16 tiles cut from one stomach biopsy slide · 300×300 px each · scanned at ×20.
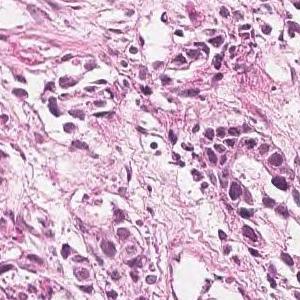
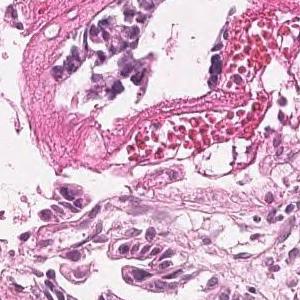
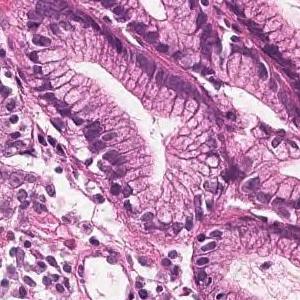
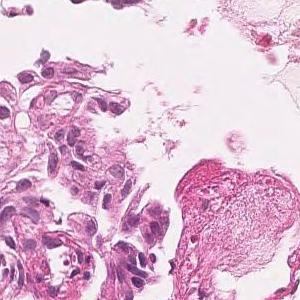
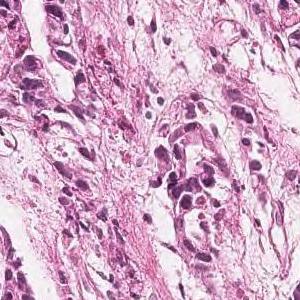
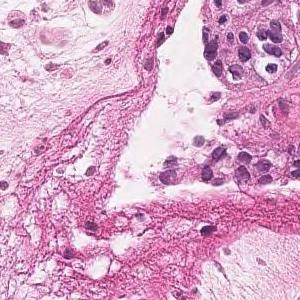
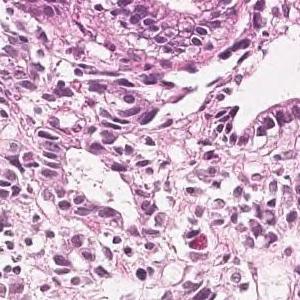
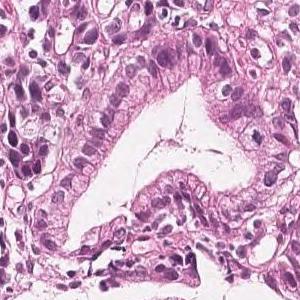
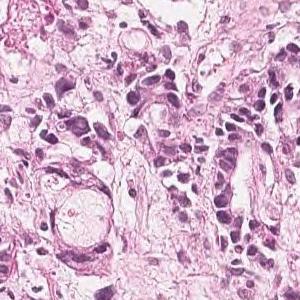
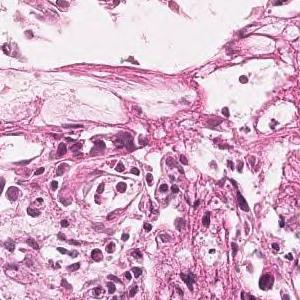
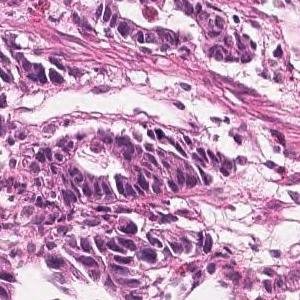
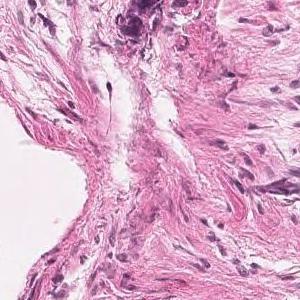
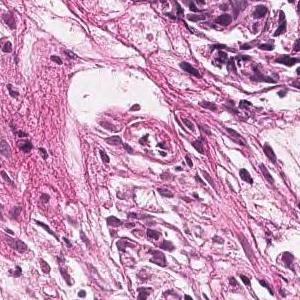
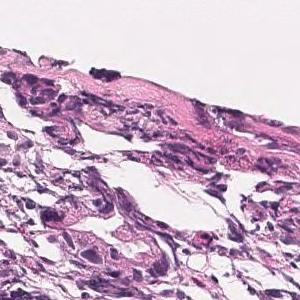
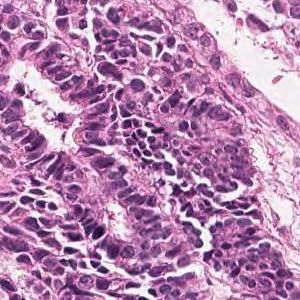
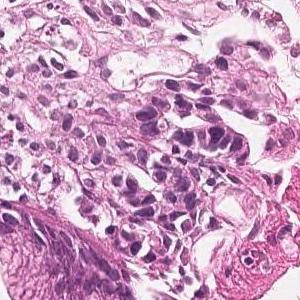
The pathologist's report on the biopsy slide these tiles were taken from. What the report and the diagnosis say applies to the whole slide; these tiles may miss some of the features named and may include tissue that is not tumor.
On the superficial epithelium, tumor tissue consisting of large, irregular glandular ducts partially fused and infiltrated is observed. Well to moderately differentiated tubular adenocarcinoma (well differentiated tubular adenocarcinoma, moderately differentiated tubular adenocarcinoma)
Subtype: Well to moderately differentiated tubular adenocarcinoma.
